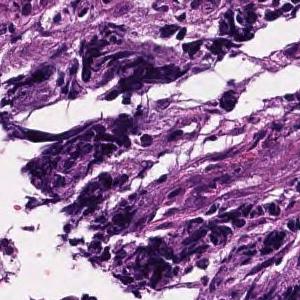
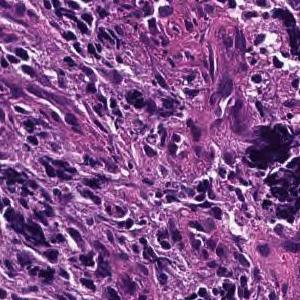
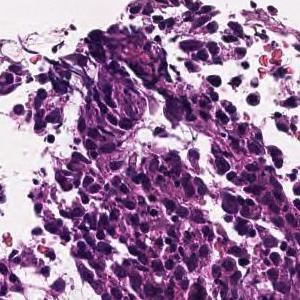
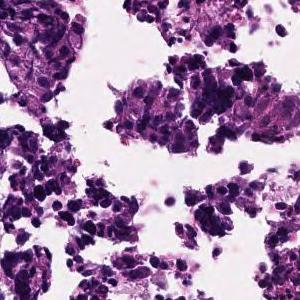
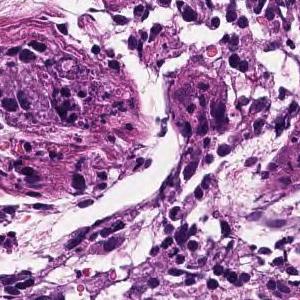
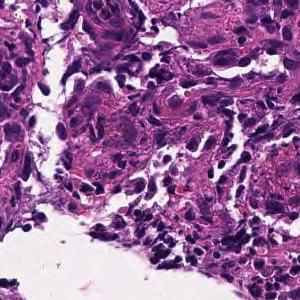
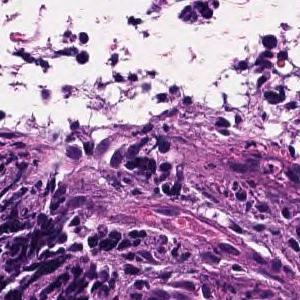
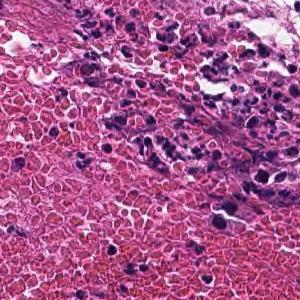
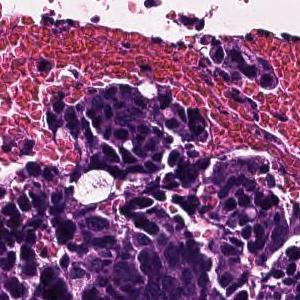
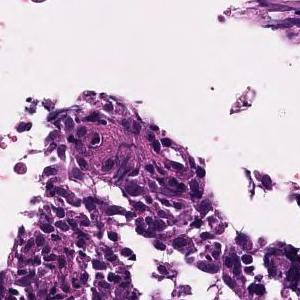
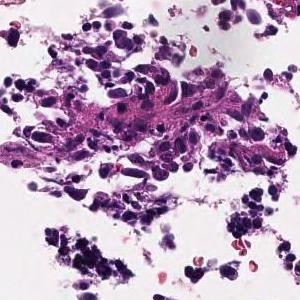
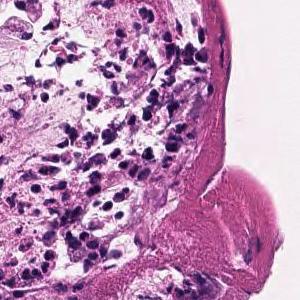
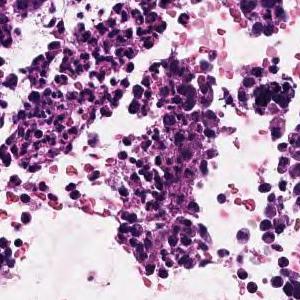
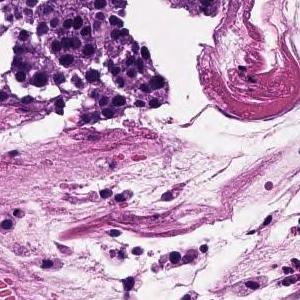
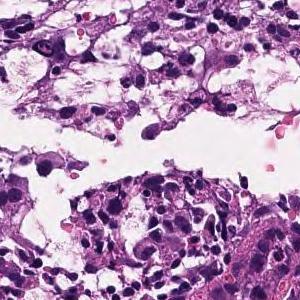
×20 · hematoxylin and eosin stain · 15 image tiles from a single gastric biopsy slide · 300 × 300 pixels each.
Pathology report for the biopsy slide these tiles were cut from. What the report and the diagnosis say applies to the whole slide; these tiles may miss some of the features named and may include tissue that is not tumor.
The superficial epithelium shows a large sheet-like shape, and some tumor tissue infiltrates with small irregular ducts. Poorly differentiated adenocarcinoma, solid-type
Histological subtype: Poorly differentiated adenocarcinoma, solid type (Japanese Classification of Gastric Carcinoma). The WHO 2019 equivalent is tubular adenocarcinoma, poorly differentiated.
